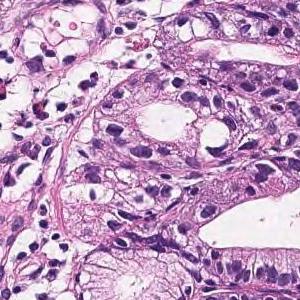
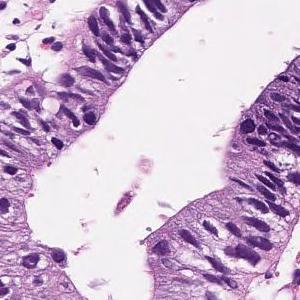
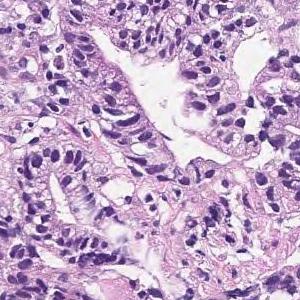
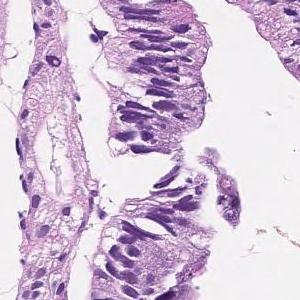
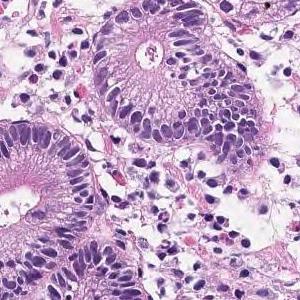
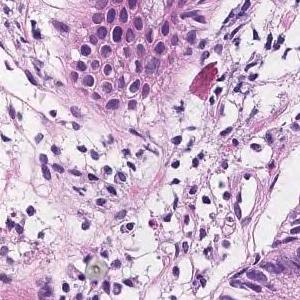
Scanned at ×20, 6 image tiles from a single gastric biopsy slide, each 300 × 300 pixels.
The pathologist's report on the biopsy slide these tiles were taken from. What the report and the diagnosis say applies to the whole slide; these tiles may miss some of the features named and may include tissue that is not tumor.
In the superficial epithelium, tumor tissue that invades by forming medium-sized to small, irregular ducts is observed. Moderately differentiated adenocarcinoma.
Histological subtype: Moderately differentiated tubular adenocarcinoma.
